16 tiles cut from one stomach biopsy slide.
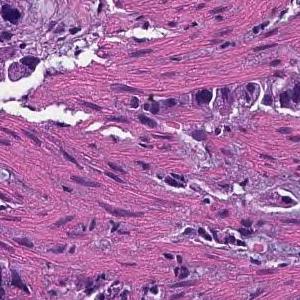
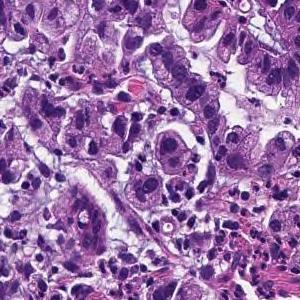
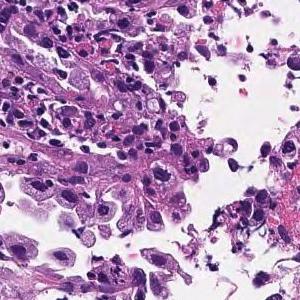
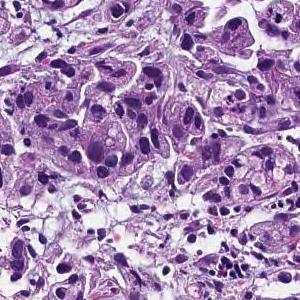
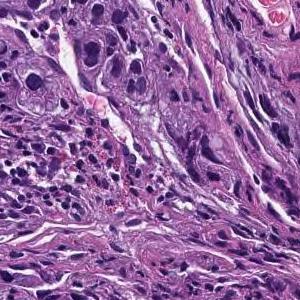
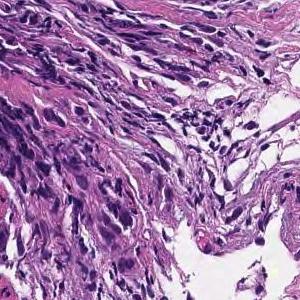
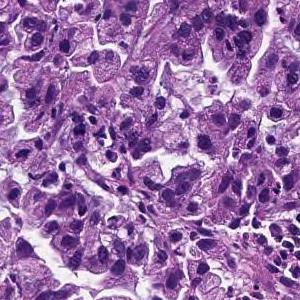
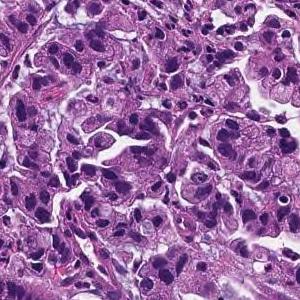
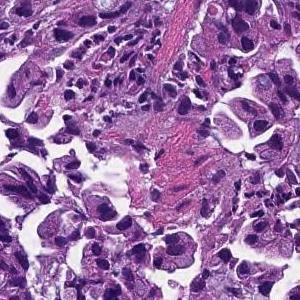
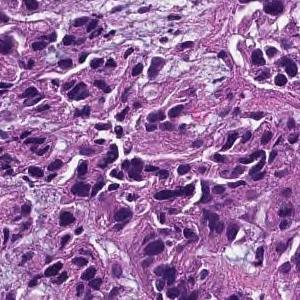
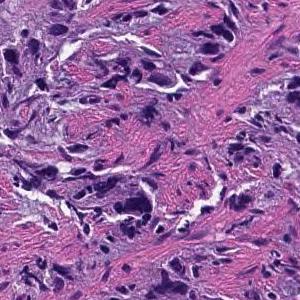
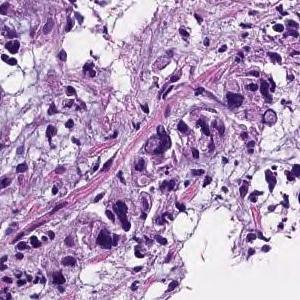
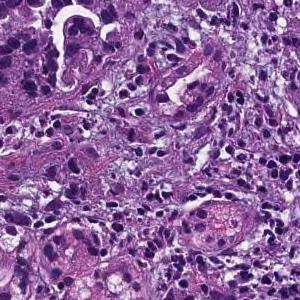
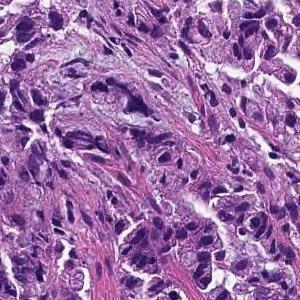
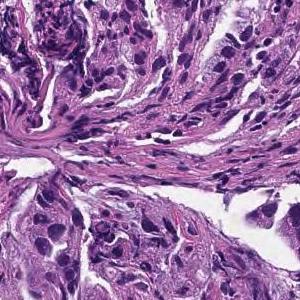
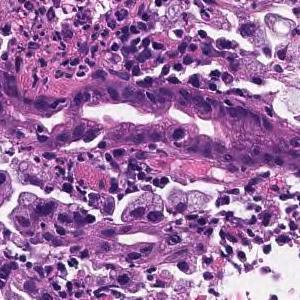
Pathology report for the slide these tiles were cut from. The report and the diagnosis cover the entire slide, so not every feature they name need be visible here, and some tissue shown may not be tumor.
Tumor tissue consisting of medium-sized, cord-like or irregular glandular infiltration is observed in the superficial epithelium. Poorly differentiated adenocarcinoma, non-solid type or moderately differentiated tubular adenocarcinoma
Tumor subtype: moderately to poorly differentiated adenocarcinoma.
The non-solid type named here is a Japanese Classification of Gastric Carcinoma category.
